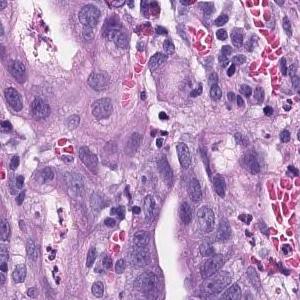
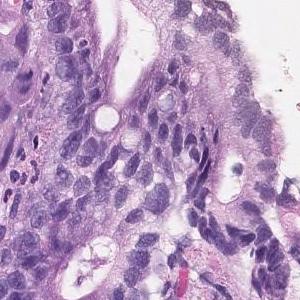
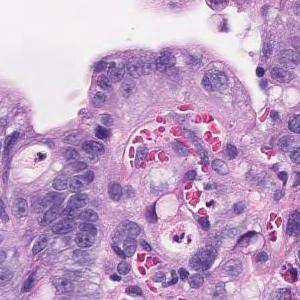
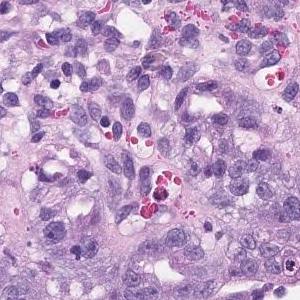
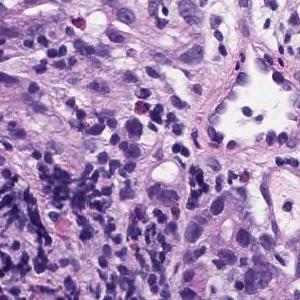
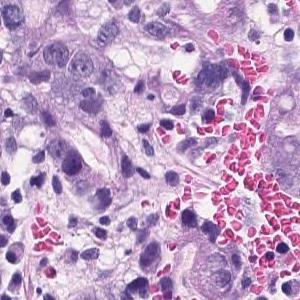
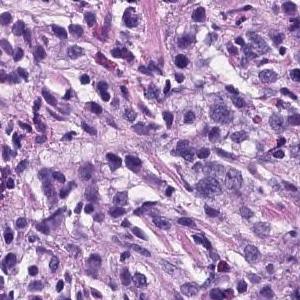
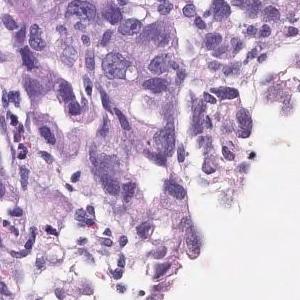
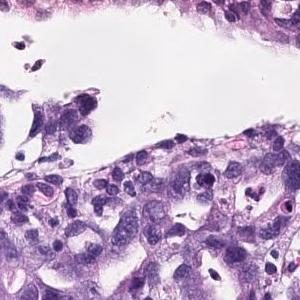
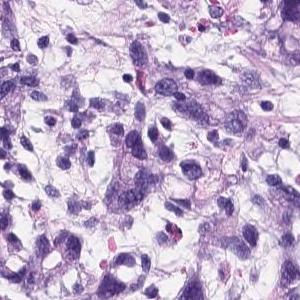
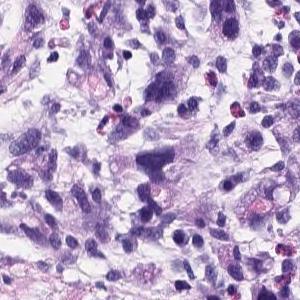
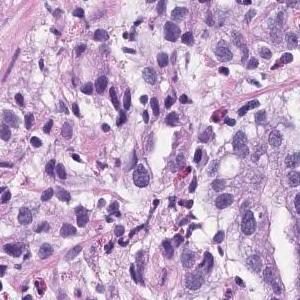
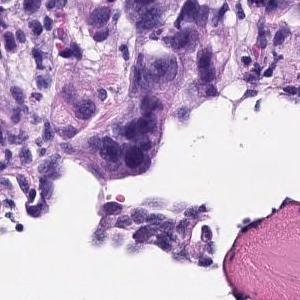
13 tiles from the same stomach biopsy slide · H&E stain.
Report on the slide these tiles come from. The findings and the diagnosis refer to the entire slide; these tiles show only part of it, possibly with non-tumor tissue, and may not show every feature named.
There are atypical l cells with atypical nuclei forming cord-like or irregular atypical ducts from solidity and proliferating in a comprehensive manner. Poorly differentiated adenocarcinoma, Moderately differentiated adenocarcinoma (poorly differentiated adenocarcinoma, solid type moderately differentiated tubular adenocarcinoma)
Classified as moderately to poorly differentiated adenocarcinoma.
The term "solid type" comes from the Japanese Classification of Gastric Carcinoma; the WHO 2019 equivalent is tubular adenocarcinoma, poorly differentiated.
